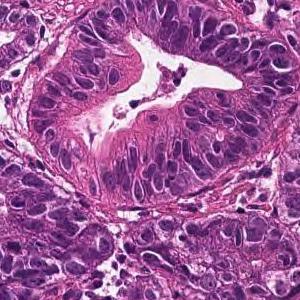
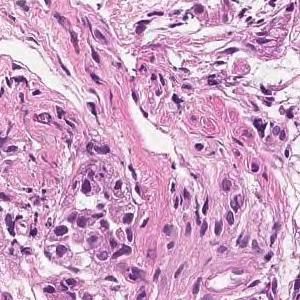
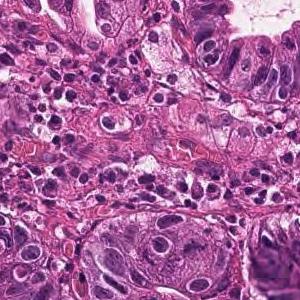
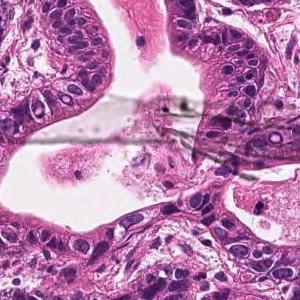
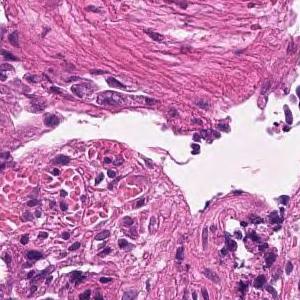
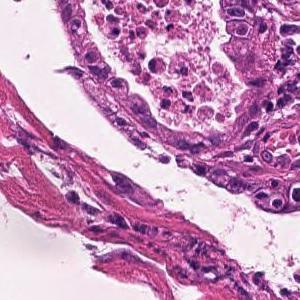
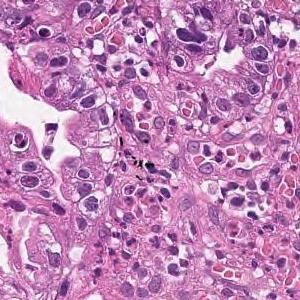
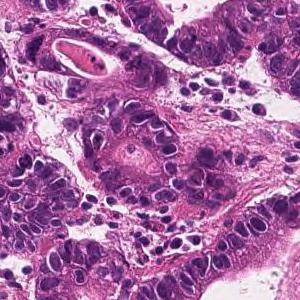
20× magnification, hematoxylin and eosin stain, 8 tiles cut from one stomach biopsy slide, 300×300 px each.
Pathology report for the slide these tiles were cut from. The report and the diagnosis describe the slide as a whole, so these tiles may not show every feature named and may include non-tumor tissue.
In the superficial epithelium, tumor tissue that invades by forming medium-sized to small, irregular ducts is observed. Well differentiated tubular adenocarcinoma.
